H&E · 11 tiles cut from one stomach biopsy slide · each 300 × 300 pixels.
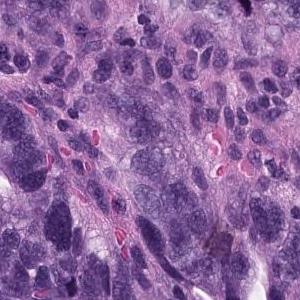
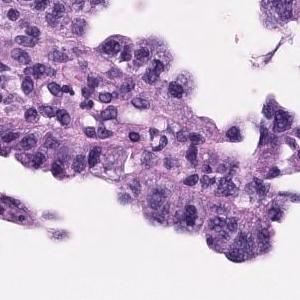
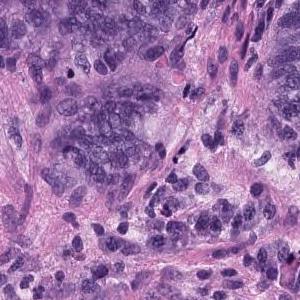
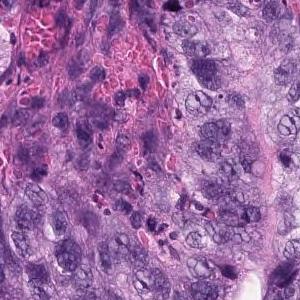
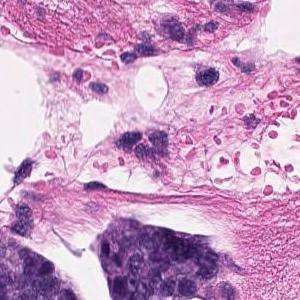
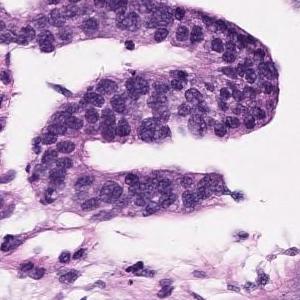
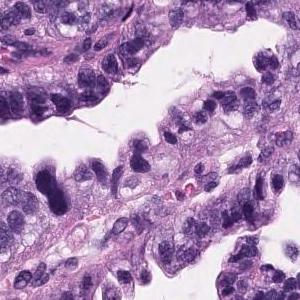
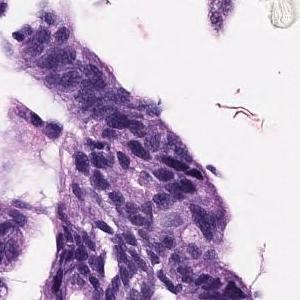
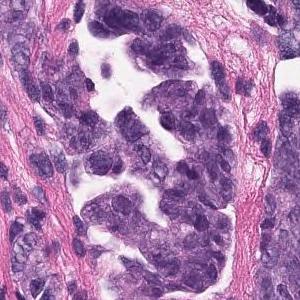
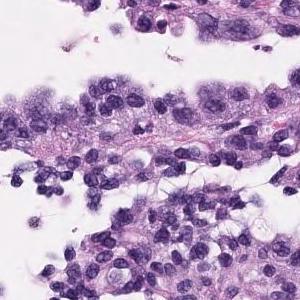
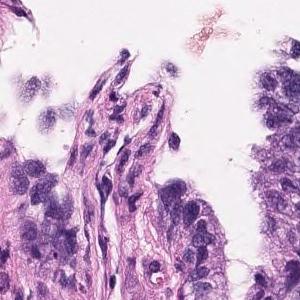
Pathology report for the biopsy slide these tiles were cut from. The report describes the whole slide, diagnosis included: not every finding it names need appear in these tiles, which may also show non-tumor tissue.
Tumor cells are large, highly columnar, large club-shaped nuclei, and are associated with chromatin aggregation. Papillary adenocarcinoma.
